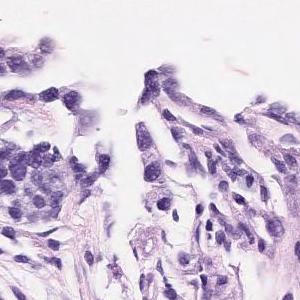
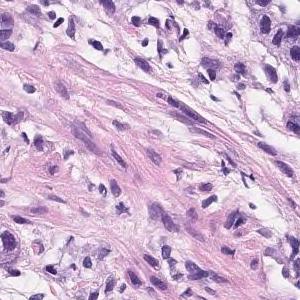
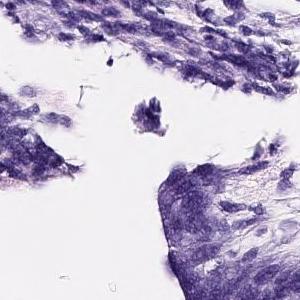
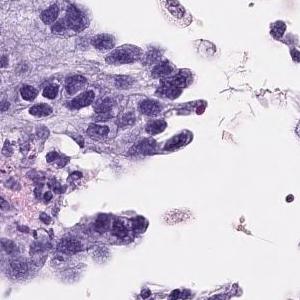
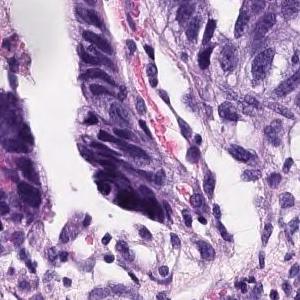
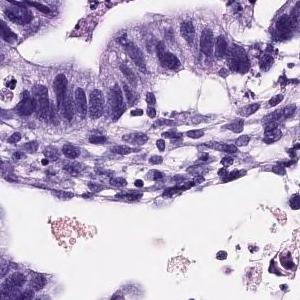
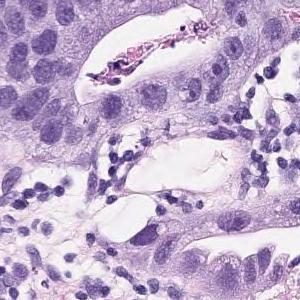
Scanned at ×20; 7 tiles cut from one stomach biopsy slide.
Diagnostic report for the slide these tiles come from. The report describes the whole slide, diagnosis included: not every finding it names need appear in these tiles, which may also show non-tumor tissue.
On the superficial epithelium, tumor tissue consisting of medium to small irregular tubules partially fused and proliferated is observed. moderately differentiated tubular adenocarcinoma
